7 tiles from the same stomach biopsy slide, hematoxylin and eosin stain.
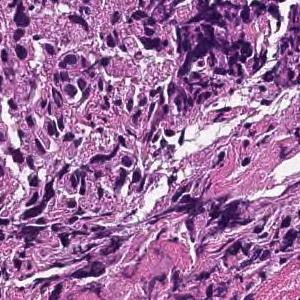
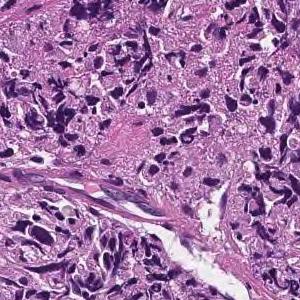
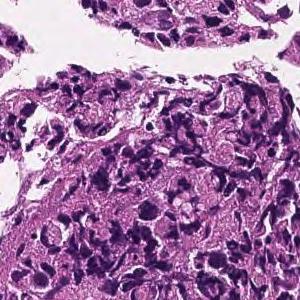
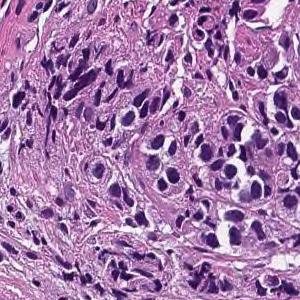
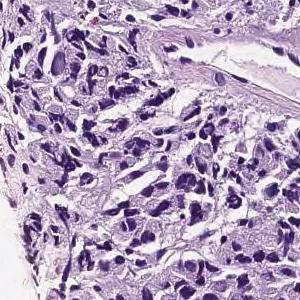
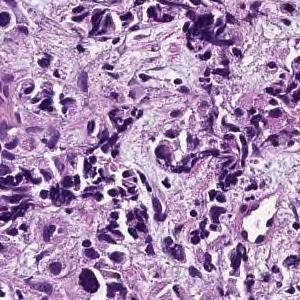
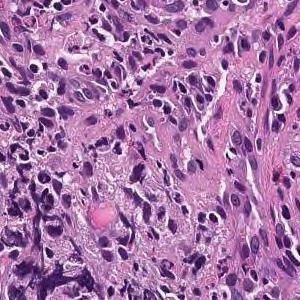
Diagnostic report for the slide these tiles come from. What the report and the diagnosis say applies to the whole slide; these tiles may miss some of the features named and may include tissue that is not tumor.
The lamina propria shows small cord-like tumor tissue that infiltrates with fibrosis and marked chronic inflammatory cell infiltration. Poorly differentiated adenocarcinoma, non-solid type
"Non-solid type" is a category of the Japanese Classification of Gastric Carcinoma.
